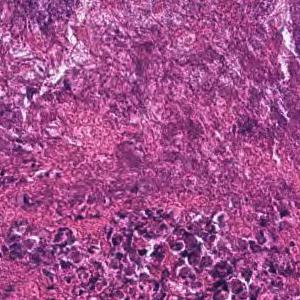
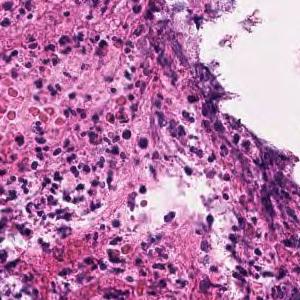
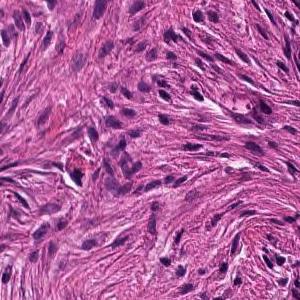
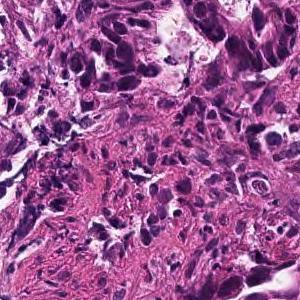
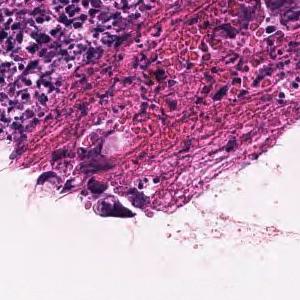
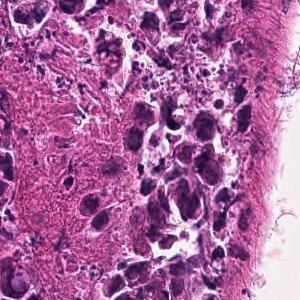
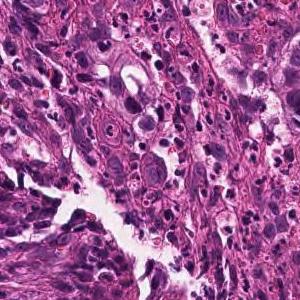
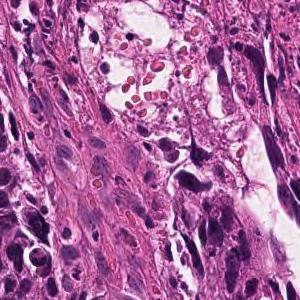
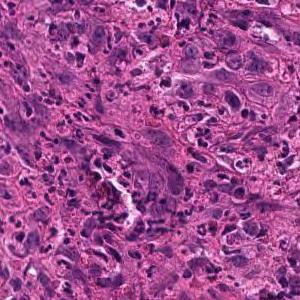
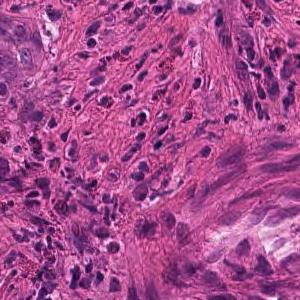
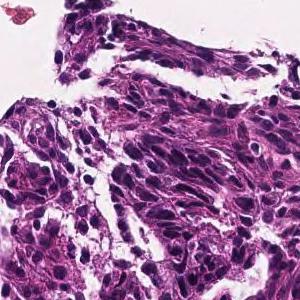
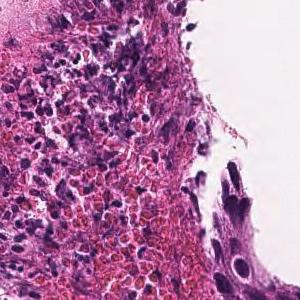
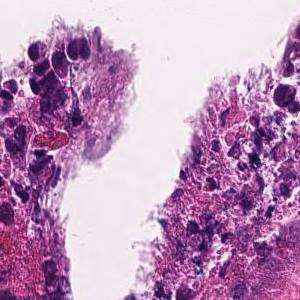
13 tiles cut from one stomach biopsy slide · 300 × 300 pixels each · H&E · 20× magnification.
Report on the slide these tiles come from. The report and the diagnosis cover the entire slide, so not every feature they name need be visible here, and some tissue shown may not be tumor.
In the superficial epithelium, tumor tissue that invades by forming medium-sized to small, irregular ducts is observed. moderately differentiated tubular adenocarcinoma.
